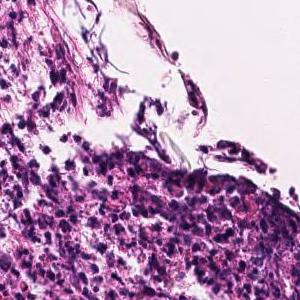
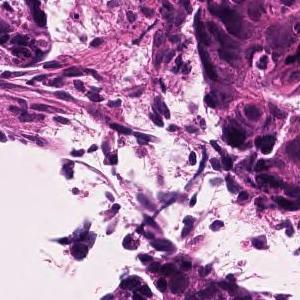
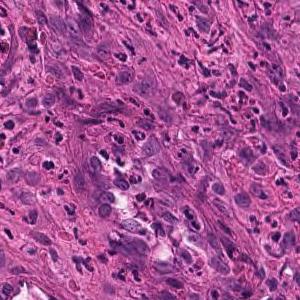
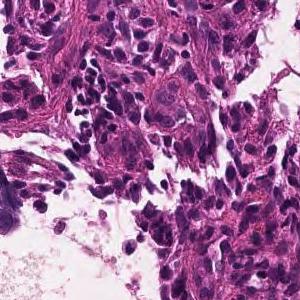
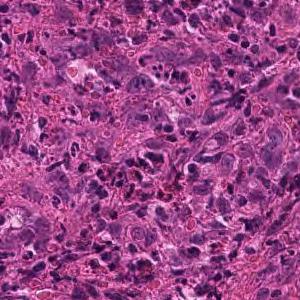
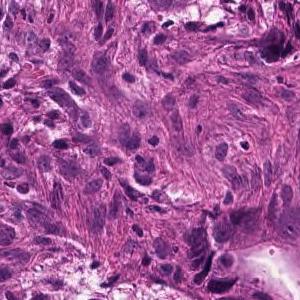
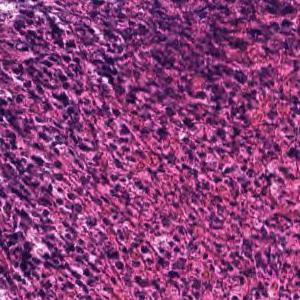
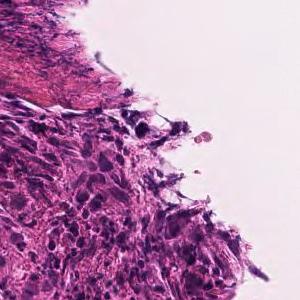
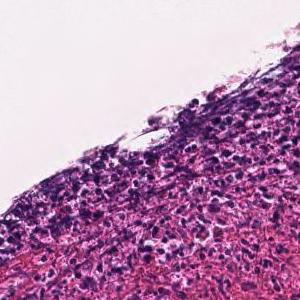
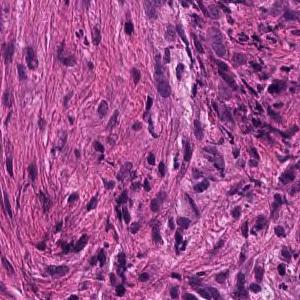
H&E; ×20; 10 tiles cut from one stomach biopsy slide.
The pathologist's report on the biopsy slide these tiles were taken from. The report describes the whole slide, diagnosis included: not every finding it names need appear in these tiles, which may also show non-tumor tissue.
In the superficial epithelium, tumor tissue that invades by forming medium-sized to small, irregular ducts is observed. moderately differentiated tubular adenocarcinoma.
